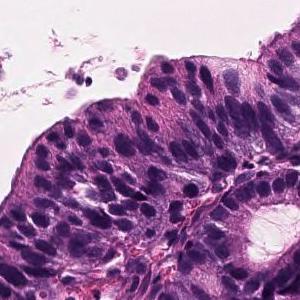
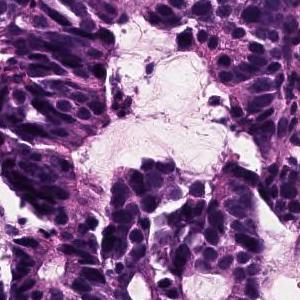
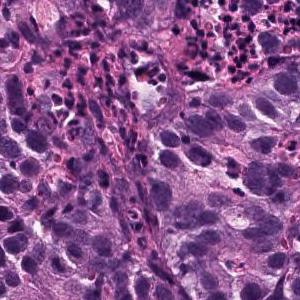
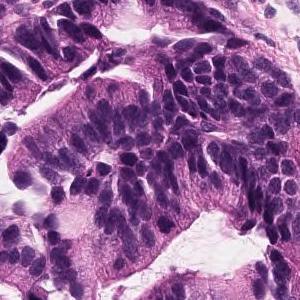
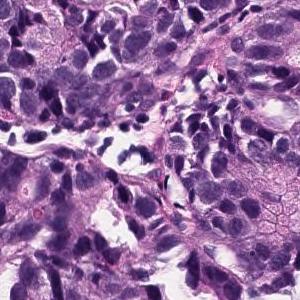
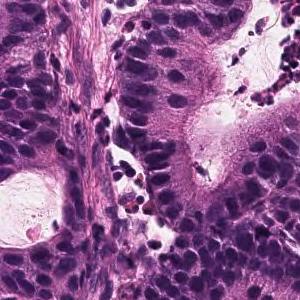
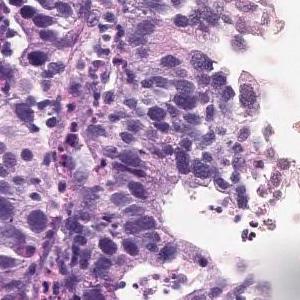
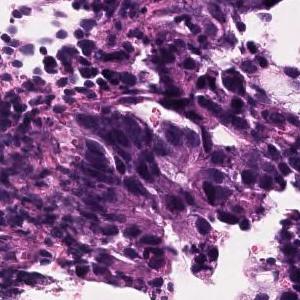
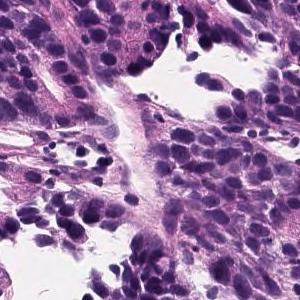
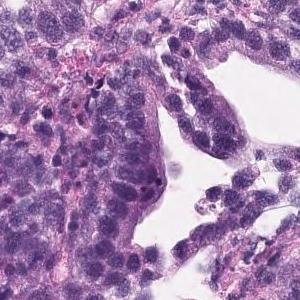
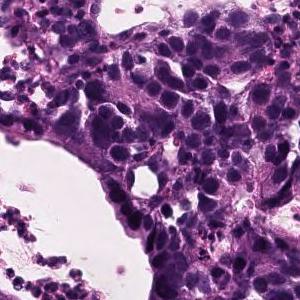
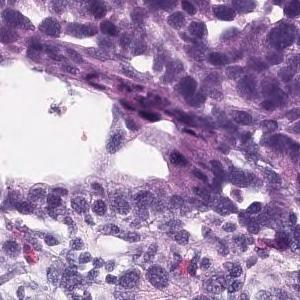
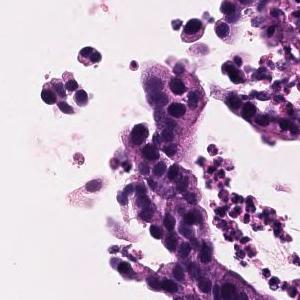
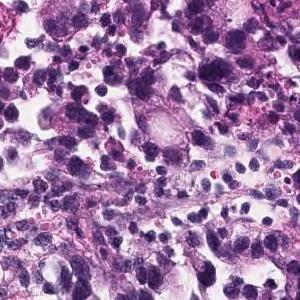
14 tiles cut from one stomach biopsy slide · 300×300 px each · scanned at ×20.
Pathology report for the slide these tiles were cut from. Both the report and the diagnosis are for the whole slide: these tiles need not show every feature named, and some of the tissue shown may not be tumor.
In the superficial epithelium, tumor tissue that invades by forming medium-sized to small, irregular ducts is observed. moderately differentiated tubular adenocarcinoma.
